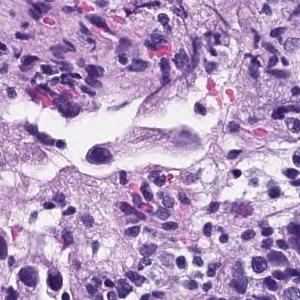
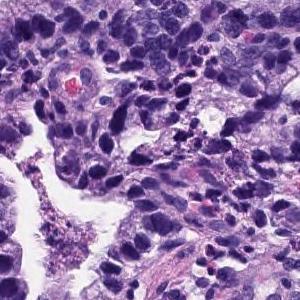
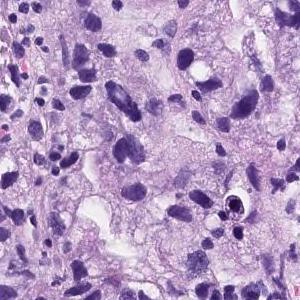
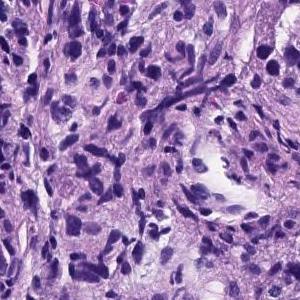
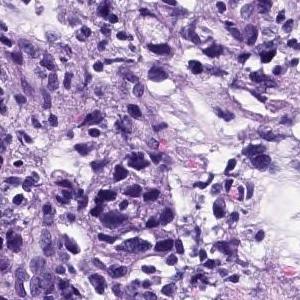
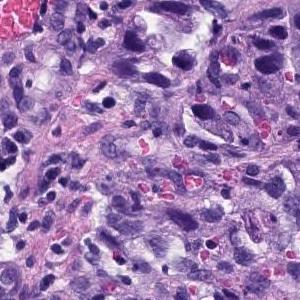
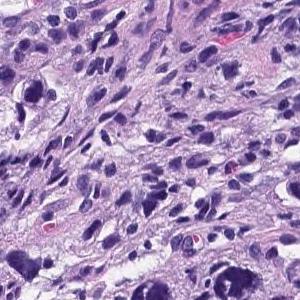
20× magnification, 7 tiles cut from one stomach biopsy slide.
Pathology report for the biopsy slide these tiles were cut from. The report describes the whole slide, diagnosis included: not every finding it names need appear in these tiles, which may also show non-tumor tissue.
Medium to small, irregular glandular ducts are formed in the superficial epithelium, and in some cases, the glandular ducts are fused to show solid alveolar lesions and infiltrating tumor tissue is observed. Poorly differentiated adenocarcinoma, Moderately differentiated adenocarcinoma.
Labeled in the dataset as moderately differentiated tubular adenocarcinoma.
